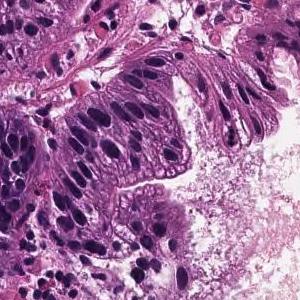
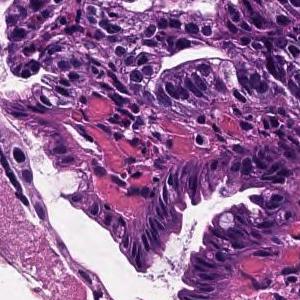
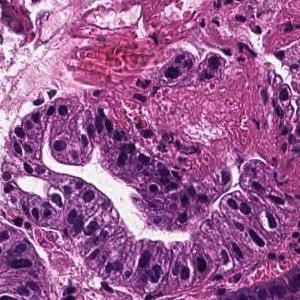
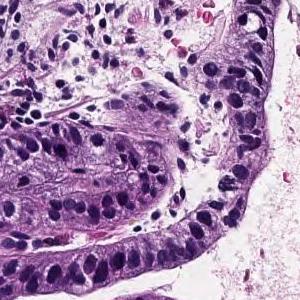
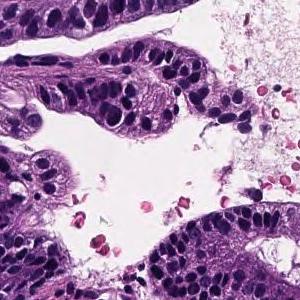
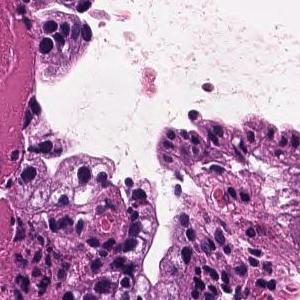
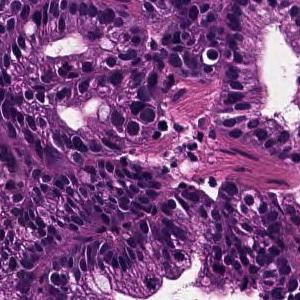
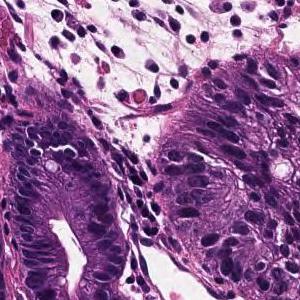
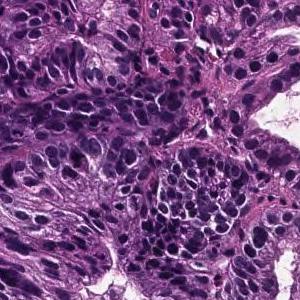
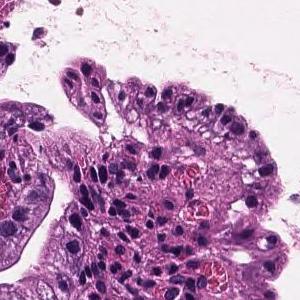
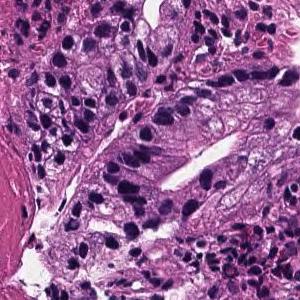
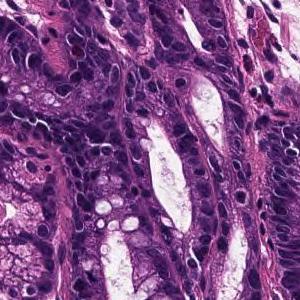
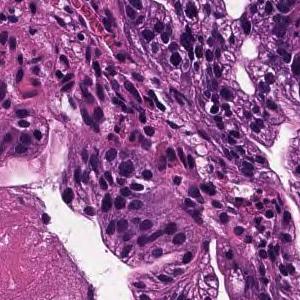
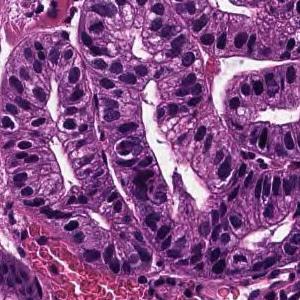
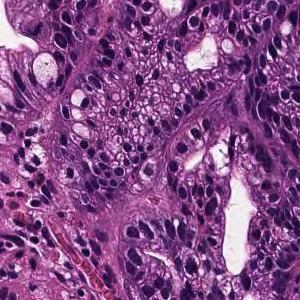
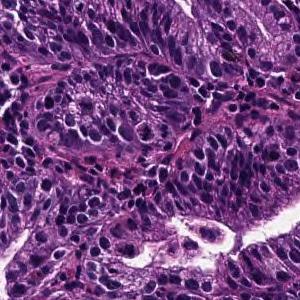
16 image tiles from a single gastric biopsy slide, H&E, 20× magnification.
Pathology report for the biopsy slide these tiles were cut from. The findings and the diagnosis refer to the entire slide; these tiles show only part of it, possibly with non-tumor tissue, and may not show every feature named.
On the superficial epithelium, tumor tissue that infiltrates by forming medium-sized papillary or small irregular ducts is observed. Papillary adenocarcinoma
